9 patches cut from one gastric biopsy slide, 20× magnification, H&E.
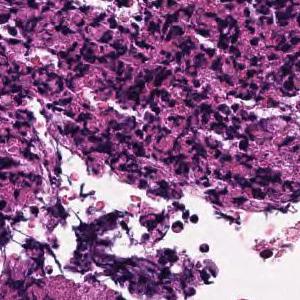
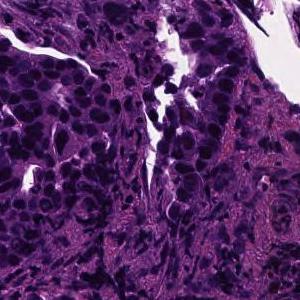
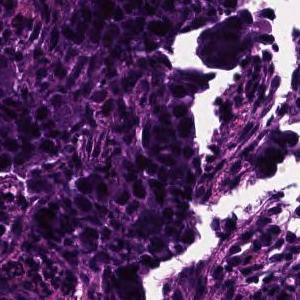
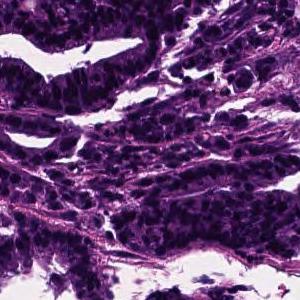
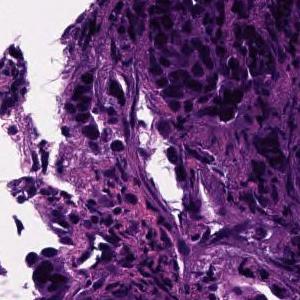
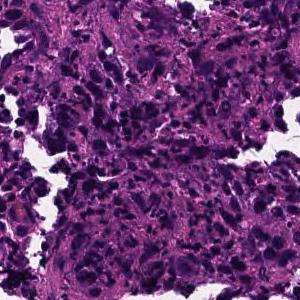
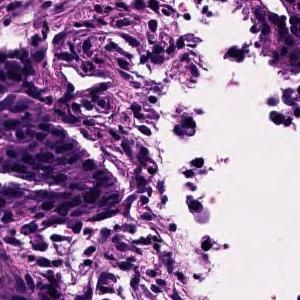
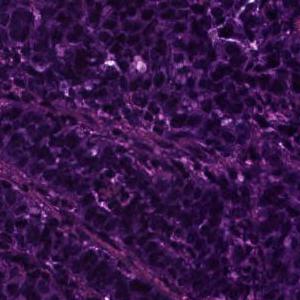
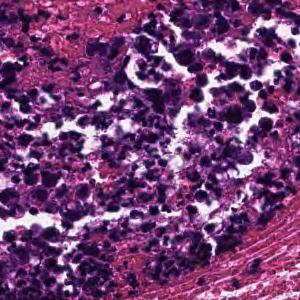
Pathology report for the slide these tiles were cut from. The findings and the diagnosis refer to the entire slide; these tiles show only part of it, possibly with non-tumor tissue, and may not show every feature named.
In the superficial epithelium, tumor tissue that invades by forming medium-sized to small, irregular ducts is observed. moderately differentiated tubular adenocarcinoma.
